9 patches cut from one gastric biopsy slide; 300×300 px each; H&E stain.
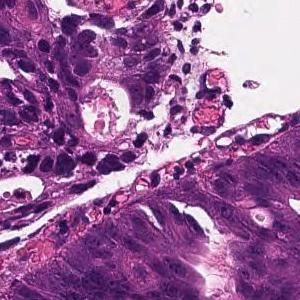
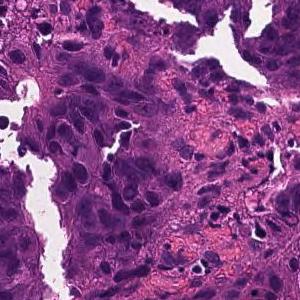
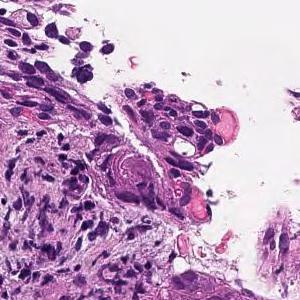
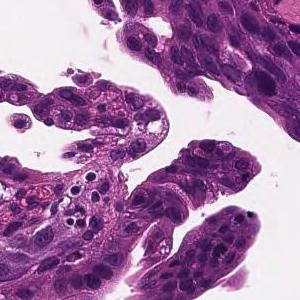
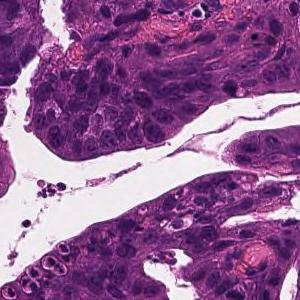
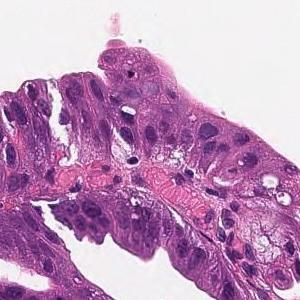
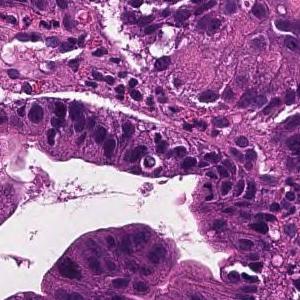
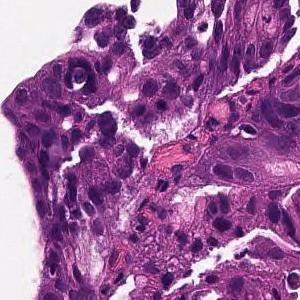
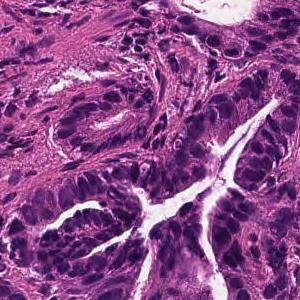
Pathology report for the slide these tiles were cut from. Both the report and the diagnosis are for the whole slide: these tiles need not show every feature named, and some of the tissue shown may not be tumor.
On the superficial epithelium, tumor tissue is found in which medium-sized irregular gland ducts fuse with each other and infiltrate. moderately differentiated tubular adenocarcinoma
